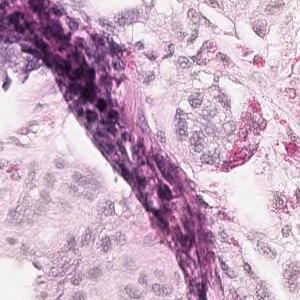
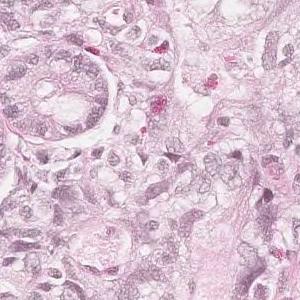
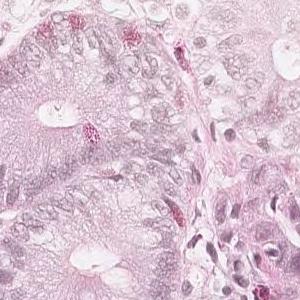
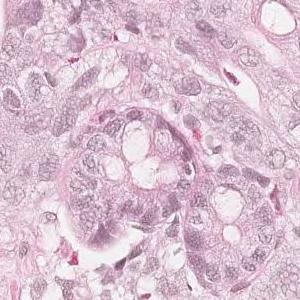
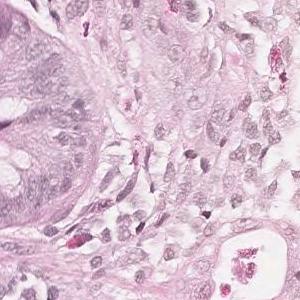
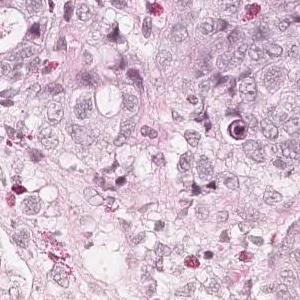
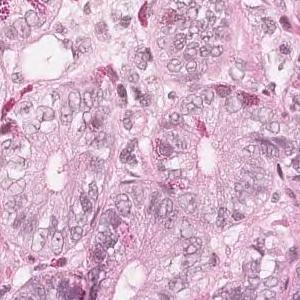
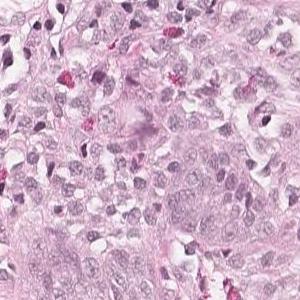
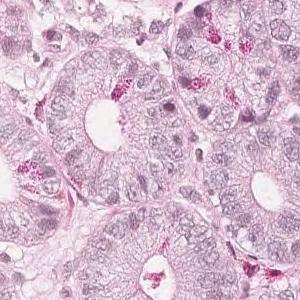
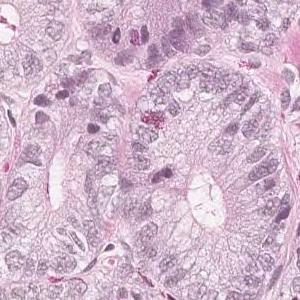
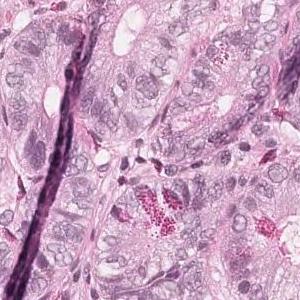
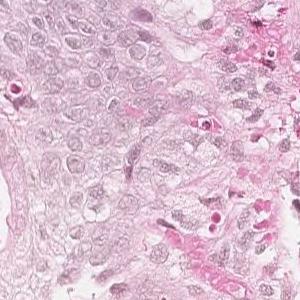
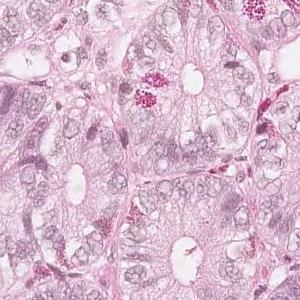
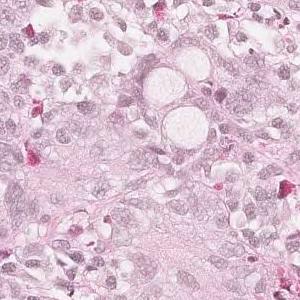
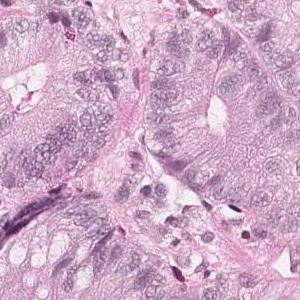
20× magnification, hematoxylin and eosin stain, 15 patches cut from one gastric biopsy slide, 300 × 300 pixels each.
Pathology report for the biopsy slide these tiles were cut from. The report and the diagnosis cover the entire slide, so not every feature they name need be visible here, and some tissue shown may not be tumor.
Medium to small, irregular glandular ducts are formed in the superficial epithelium, and in some cases, the glandular ducts are fused to show solid alveolar lesions and infiltrating tumor tissue is observed. Moderately to poorly differentiated adenocarcinoma.
